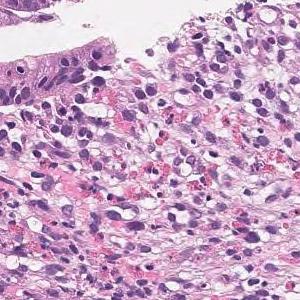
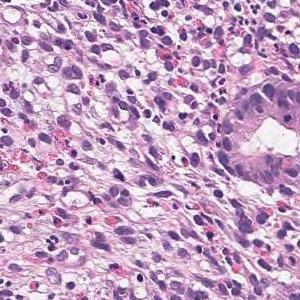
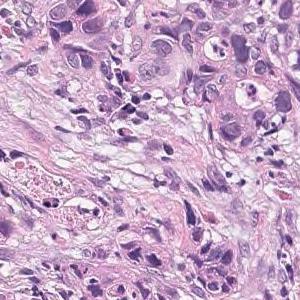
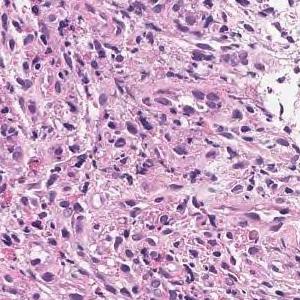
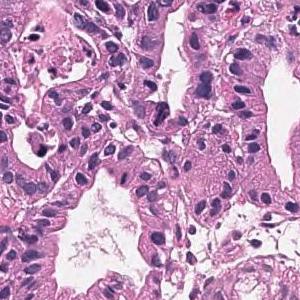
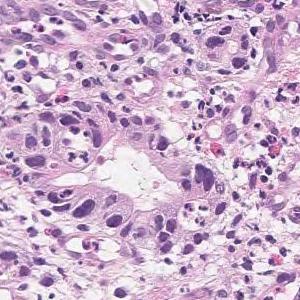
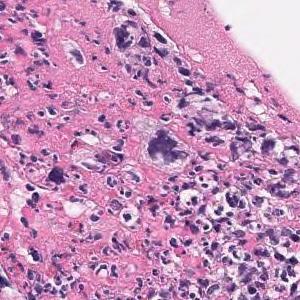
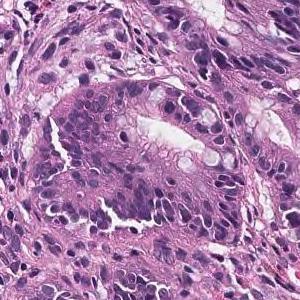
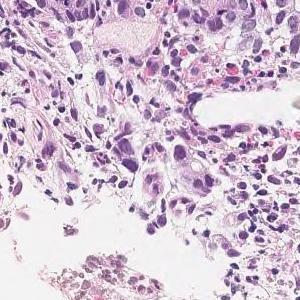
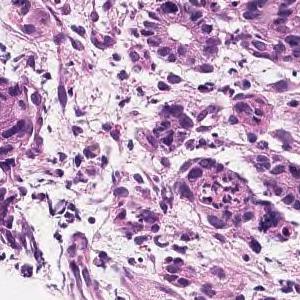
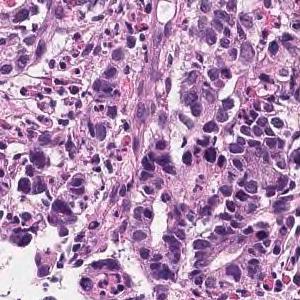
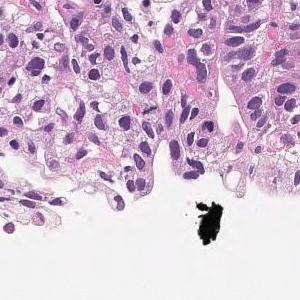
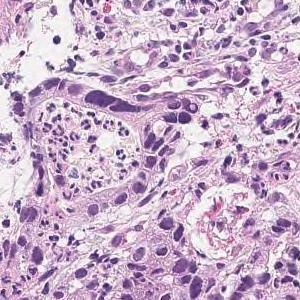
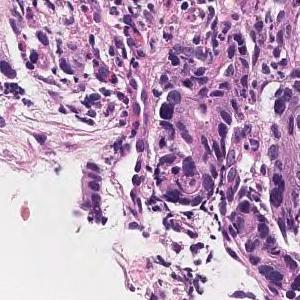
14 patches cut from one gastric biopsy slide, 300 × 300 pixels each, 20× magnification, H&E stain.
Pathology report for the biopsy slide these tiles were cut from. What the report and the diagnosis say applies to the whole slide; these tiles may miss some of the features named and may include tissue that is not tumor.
Tumor tissue that grows by forming glandular cavities from the superficial layer to the submucosa is observed. Well differentiated tubular adenocarcinoma
